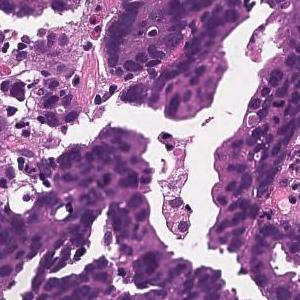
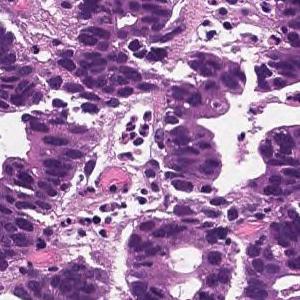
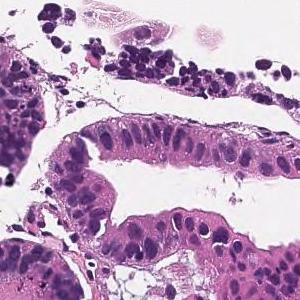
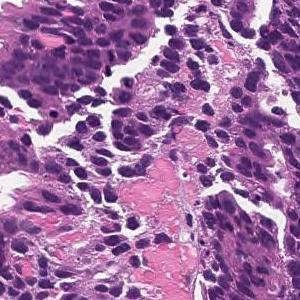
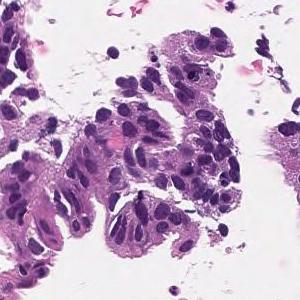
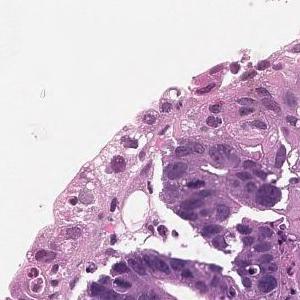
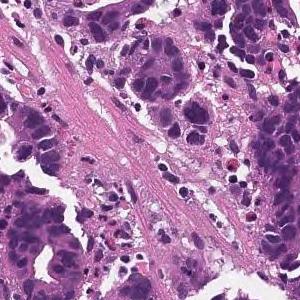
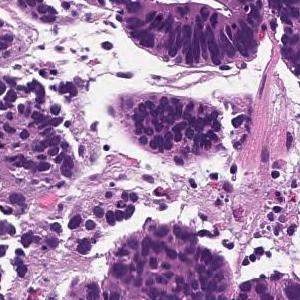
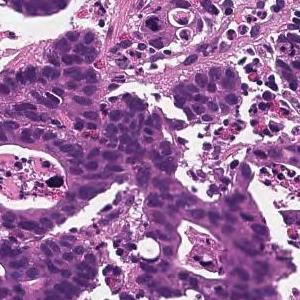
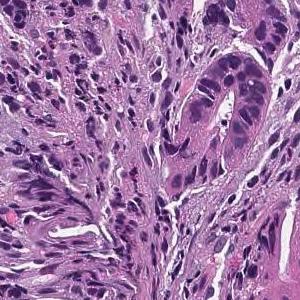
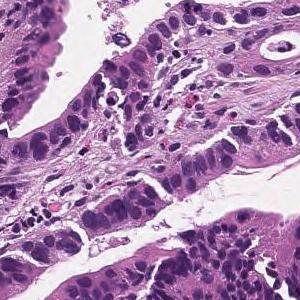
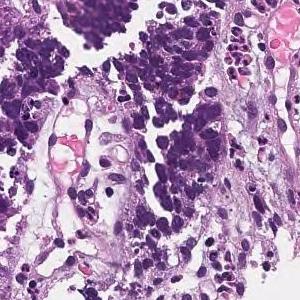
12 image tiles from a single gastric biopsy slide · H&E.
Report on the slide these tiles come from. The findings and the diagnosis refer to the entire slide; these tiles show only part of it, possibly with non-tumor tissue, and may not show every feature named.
In the superficial epithelium, tumor tissue that invades by forming medium-sized to small, irregular ducts is observed. moderately differentiated tubular adenocarcinoma.
